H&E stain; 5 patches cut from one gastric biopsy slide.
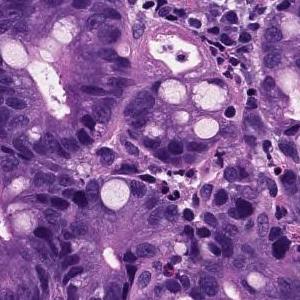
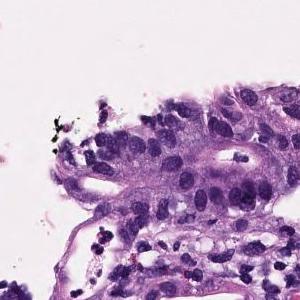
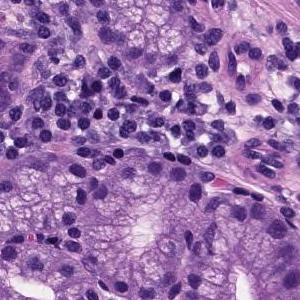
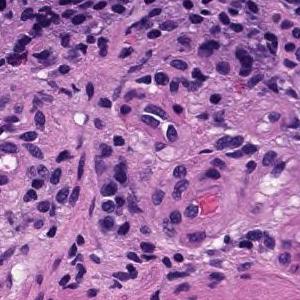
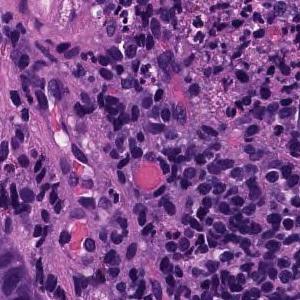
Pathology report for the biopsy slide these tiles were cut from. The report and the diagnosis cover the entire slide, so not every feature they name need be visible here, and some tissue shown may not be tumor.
Medium to small, irregular glandular ducts are formed in the superficial epithelium, and in some cases, the glandular ducts are fused to show solid alveolar lesions and infiltrating tumor tissue is observed. Moderately to poorly differentiated adenocarcinoma.
